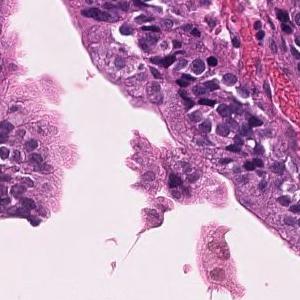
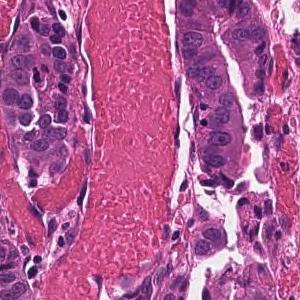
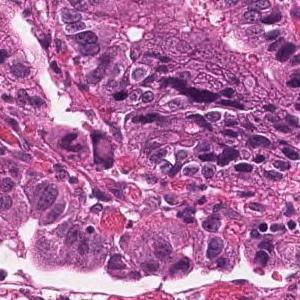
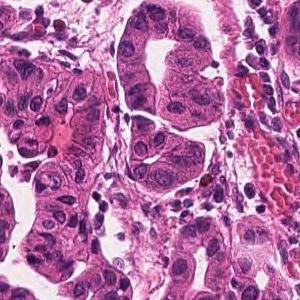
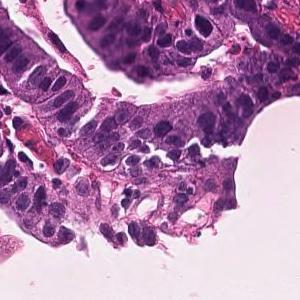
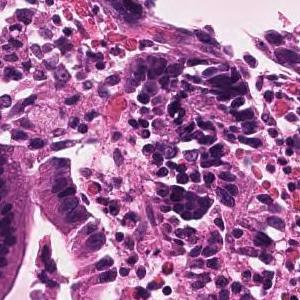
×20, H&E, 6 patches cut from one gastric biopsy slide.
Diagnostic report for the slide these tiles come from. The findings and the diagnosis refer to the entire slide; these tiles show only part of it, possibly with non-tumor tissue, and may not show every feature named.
Infiltrating tumor tissue with medium-sized, irregular ductal structure or large papillary appearance is observed. Well differentiated tubular adenocarcinoma
